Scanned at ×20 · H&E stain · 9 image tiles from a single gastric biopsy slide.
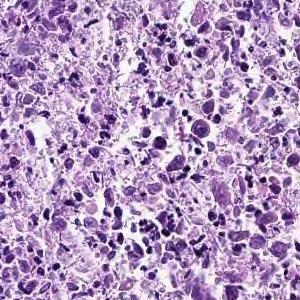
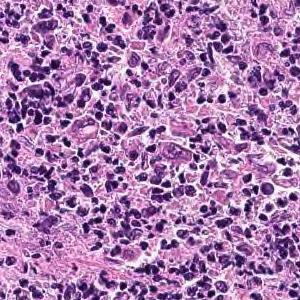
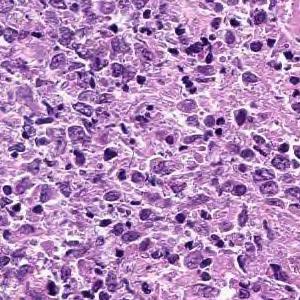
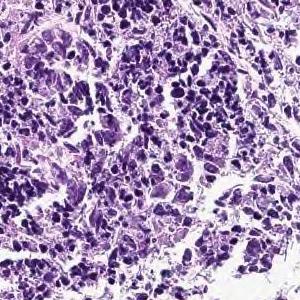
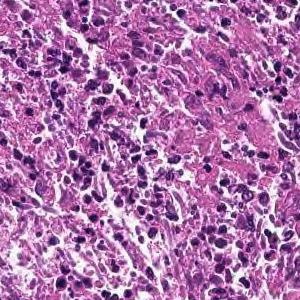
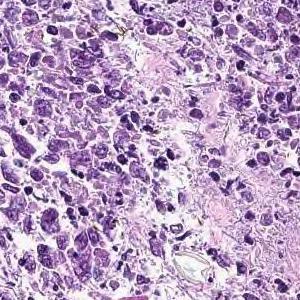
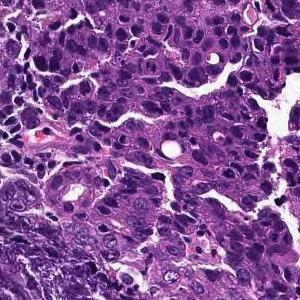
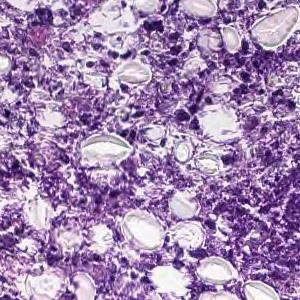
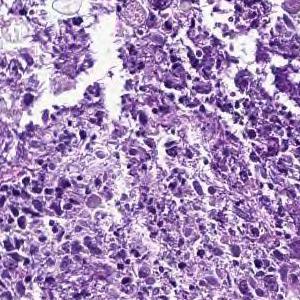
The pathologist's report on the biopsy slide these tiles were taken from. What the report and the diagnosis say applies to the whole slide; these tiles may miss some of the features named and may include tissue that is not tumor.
Cancers with polygonal nuclei do not show glandular formation and are densely, in part, cord-like and proliferate. Poorly differentiated adenocarcinoma
Histological subtype: Poorly differentiated adenocarcinoma, non-solid type.
The non-solid type named here is a Japanese Classification of Gastric Carcinoma category.
